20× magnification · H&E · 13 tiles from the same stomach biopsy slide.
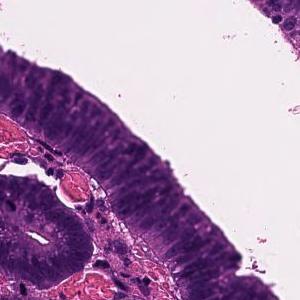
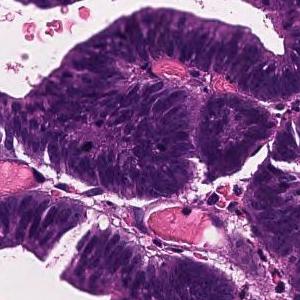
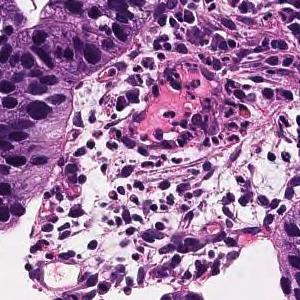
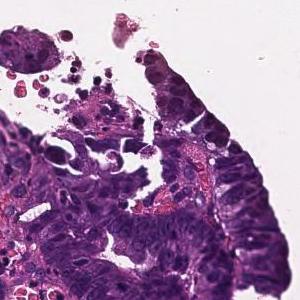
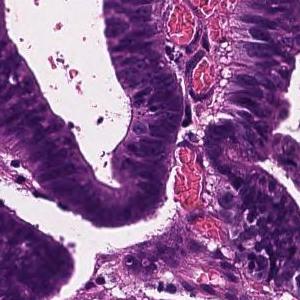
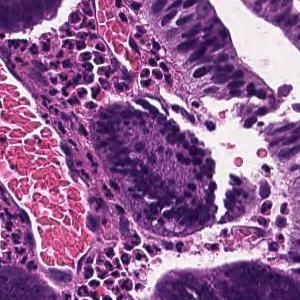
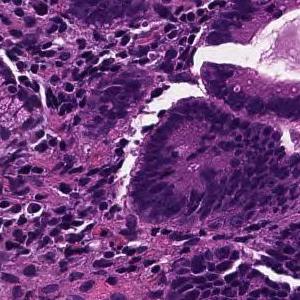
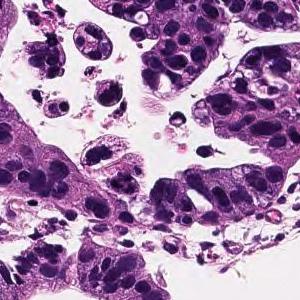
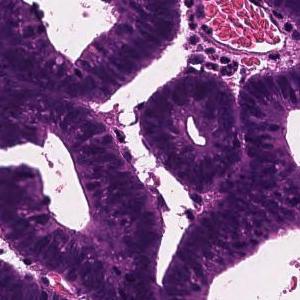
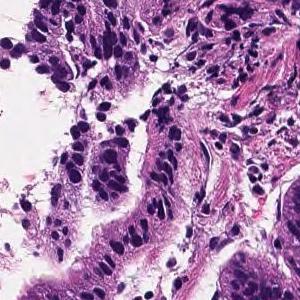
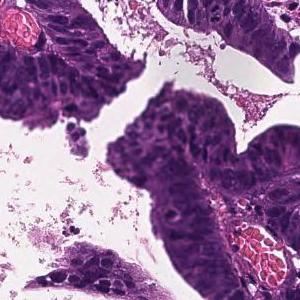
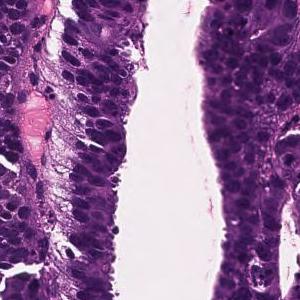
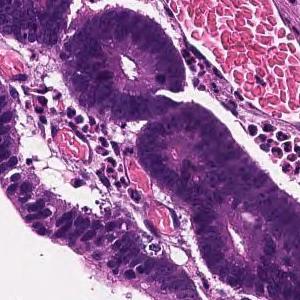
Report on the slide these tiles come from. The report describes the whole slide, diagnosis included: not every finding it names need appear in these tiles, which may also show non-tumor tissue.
Tumor tissue consisting of large papillary structures is found in the superficial epithelium. Papillary adenocarcinoma.
